Scanned at ×20 · H&E · 16 tiles from the same stomach biopsy slide · 300 × 300 pixels each.
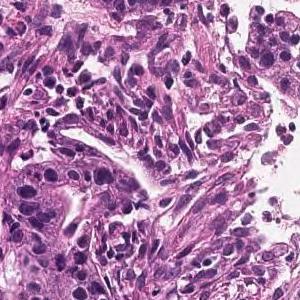
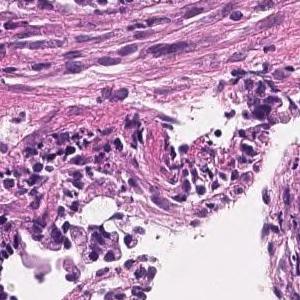
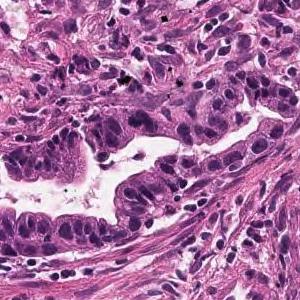
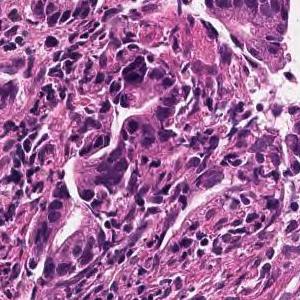
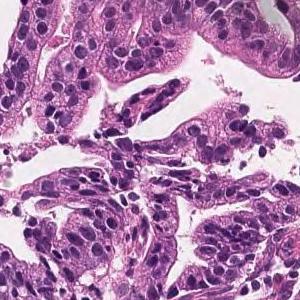
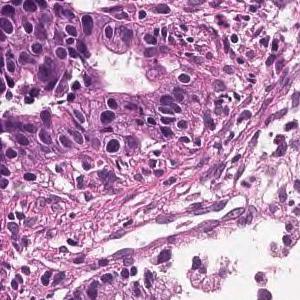
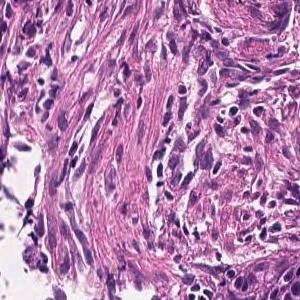
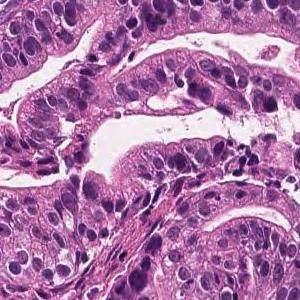
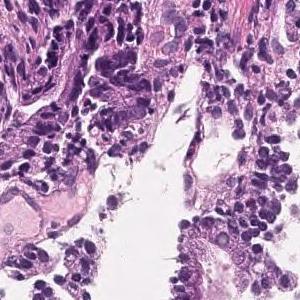
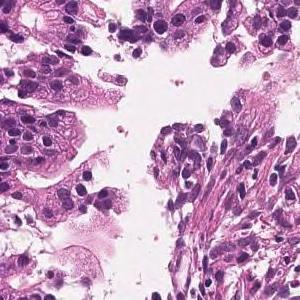
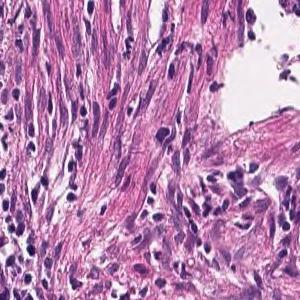
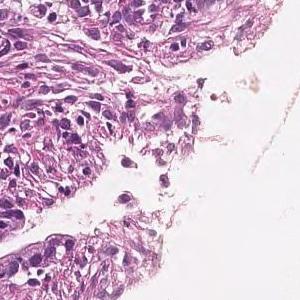
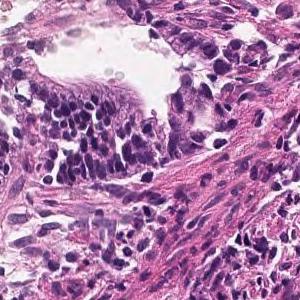
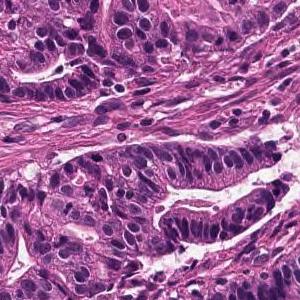
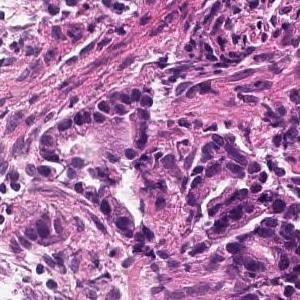
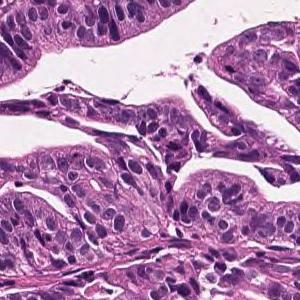
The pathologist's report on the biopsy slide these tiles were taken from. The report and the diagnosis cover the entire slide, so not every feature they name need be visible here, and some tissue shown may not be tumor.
Tumor cells are large, highly columnar, large club-shaped nuclei, and are associated with chromatin aggregation. Papillary adenocarcinoma.
